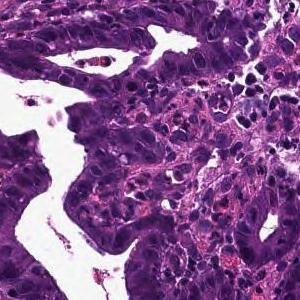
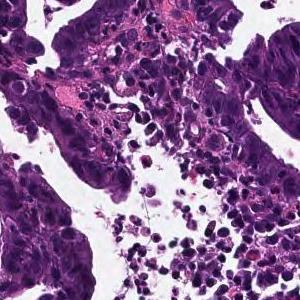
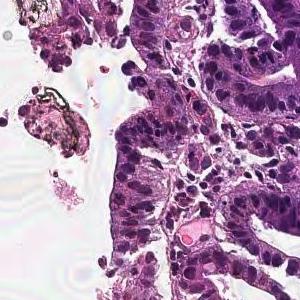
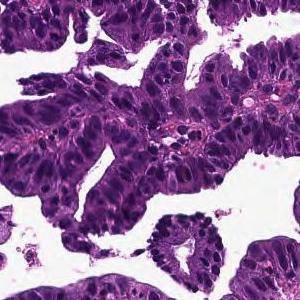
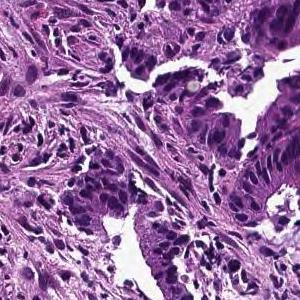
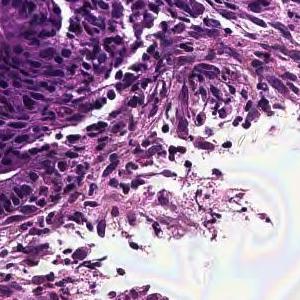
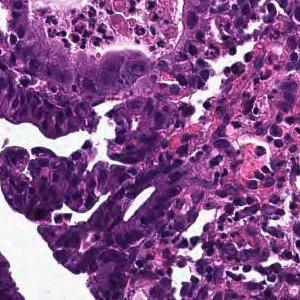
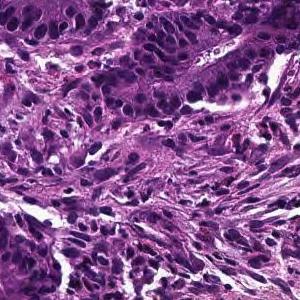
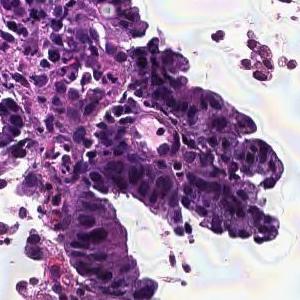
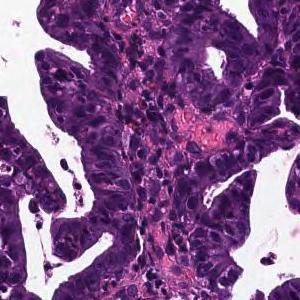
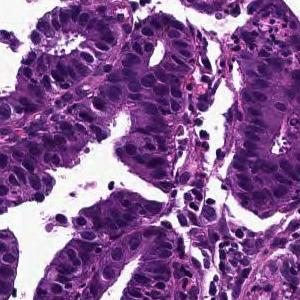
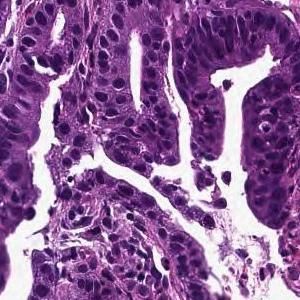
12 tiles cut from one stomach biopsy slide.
Report on the slide these tiles come from. The report and the diagnosis cover the entire slide, so not every feature they name need be visible here, and some tissue shown may not be tumor.
Tumor cells are large, highly columnar, large club-shaped nuclei, and are associated with chromatin aggregation. Papillary adenocarcinoma.
